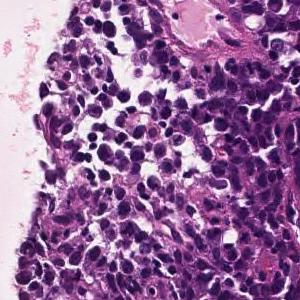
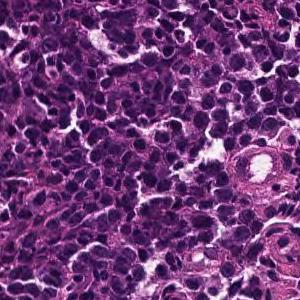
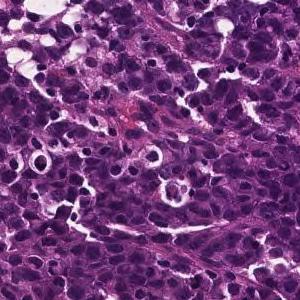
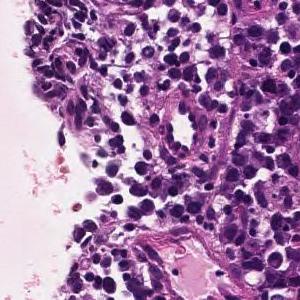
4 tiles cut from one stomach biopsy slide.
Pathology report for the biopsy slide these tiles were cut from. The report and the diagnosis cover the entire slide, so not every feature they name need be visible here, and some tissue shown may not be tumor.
The superficial epithelium shows a large sheet-like shape, and some tumor tissue infiltrates with small irregular ducts. Poorly differentiated adenocarcinoma, solid-type
Subtype: Poorly differentiated adenocarcinoma, solid type (Japanese Classification of Gastric Carcinoma). The WHO 2019 equivalent is tubular adenocarcinoma, poorly differentiated.
